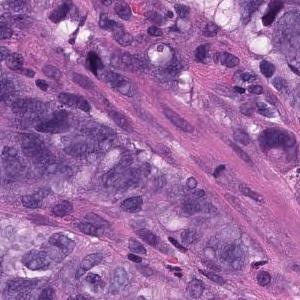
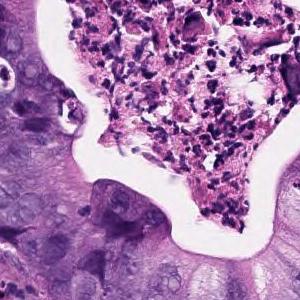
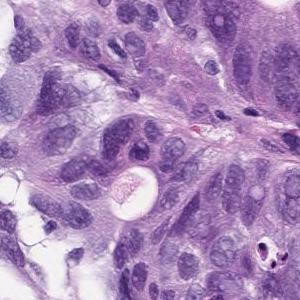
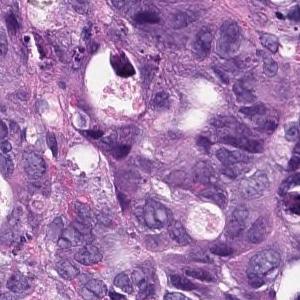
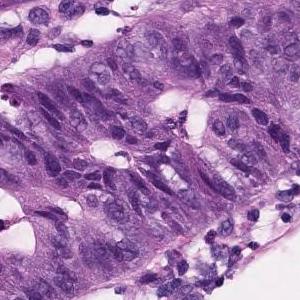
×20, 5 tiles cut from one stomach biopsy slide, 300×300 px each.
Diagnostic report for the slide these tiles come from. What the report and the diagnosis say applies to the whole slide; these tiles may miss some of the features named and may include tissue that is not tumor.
In the superficial epithelium, tumor tissue that invades by forming medium-sized to small, irregular ducts is observed. Moderately differentiated adenocarcinoma.
Tumor subtype: moderately differentiated tubular adenocarcinoma.
